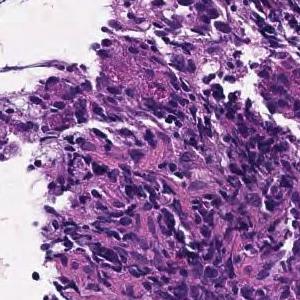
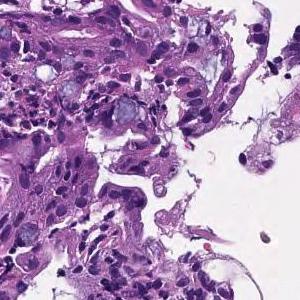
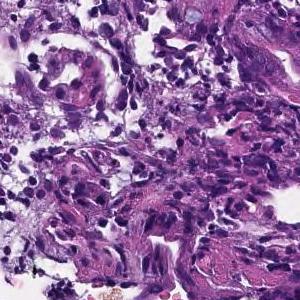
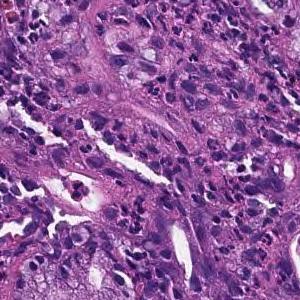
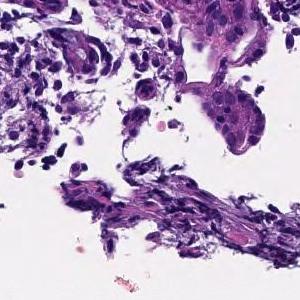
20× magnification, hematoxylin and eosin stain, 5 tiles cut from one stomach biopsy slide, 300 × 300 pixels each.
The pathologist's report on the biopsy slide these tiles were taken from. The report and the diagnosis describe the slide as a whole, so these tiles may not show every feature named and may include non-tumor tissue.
In the superficial epithelium, tumor tissue that invades by forming medium-sized to small, irregular ducts is observed. moderately differentiated tubular adenocarcinoma.
